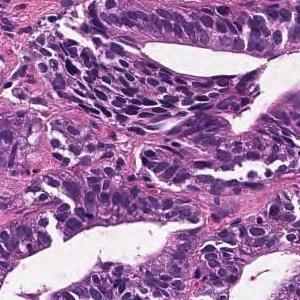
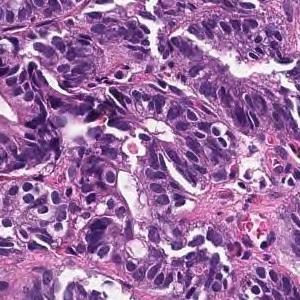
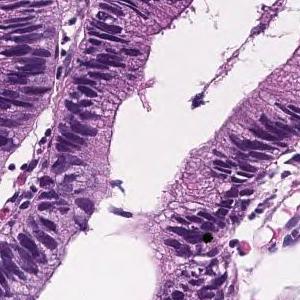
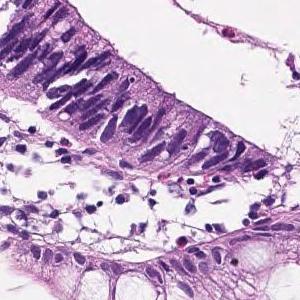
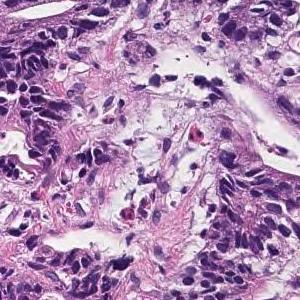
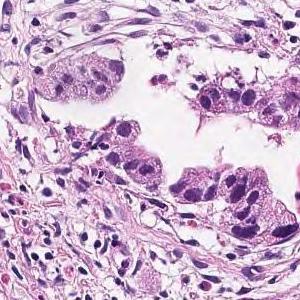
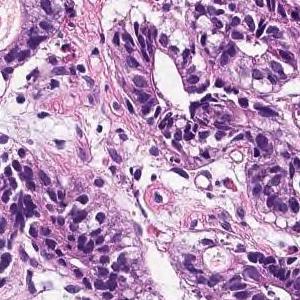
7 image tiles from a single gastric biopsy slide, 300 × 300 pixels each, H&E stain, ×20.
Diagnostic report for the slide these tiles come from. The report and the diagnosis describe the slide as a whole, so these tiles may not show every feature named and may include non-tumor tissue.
In the superficial epithelium, tumor tissue that invades by forming medium-sized to small, irregular ducts is observed. Moderately differentiated adenocarcinoma.
Subtype: Moderately differentiated tubular adenocarcinoma.
